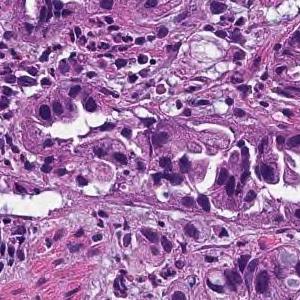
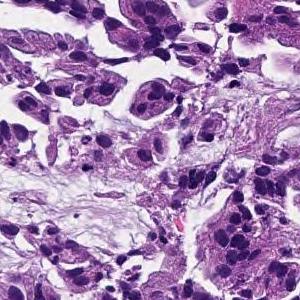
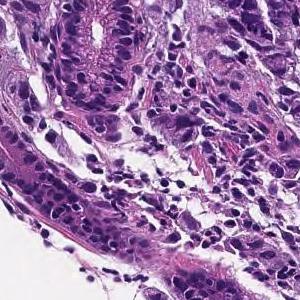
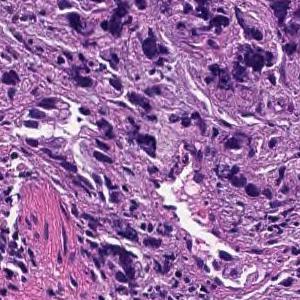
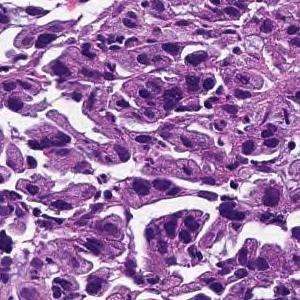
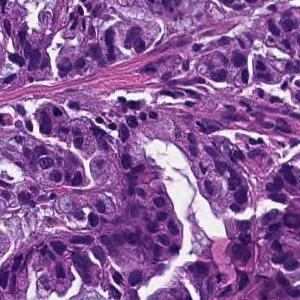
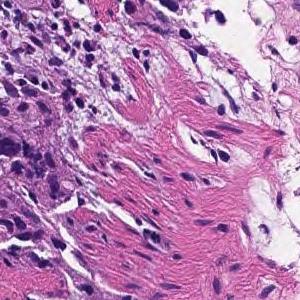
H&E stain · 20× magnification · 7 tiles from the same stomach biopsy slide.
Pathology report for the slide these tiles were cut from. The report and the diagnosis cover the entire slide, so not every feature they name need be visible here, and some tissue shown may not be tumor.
Tumor tissue consisting of medium-sized, cord-like or irregular glandular infiltration is observed in the superficial epithelium. Poorly differentiated adenocarcinoma, non-solid type or moderately differentiated tubular adenocarcinoma
Histological subtype: Moderately to poorly differentiated adenocarcinoma.
"Non-solid type" is a category of the Japanese Classification of Gastric Carcinoma.
